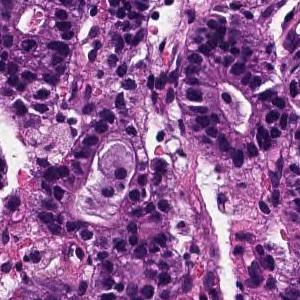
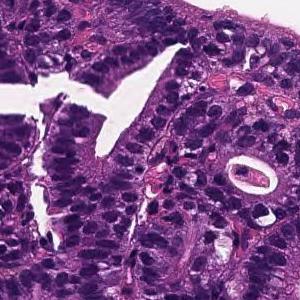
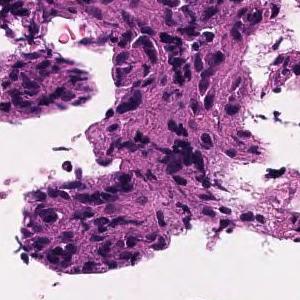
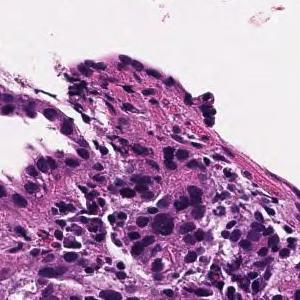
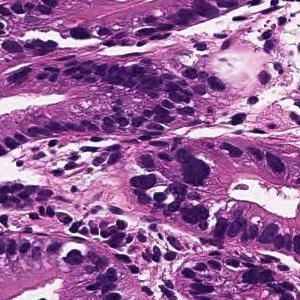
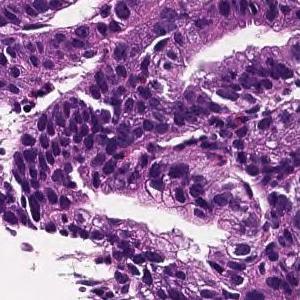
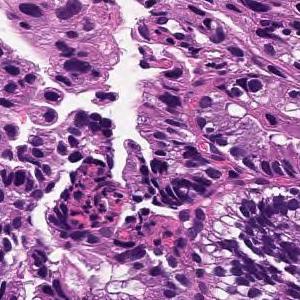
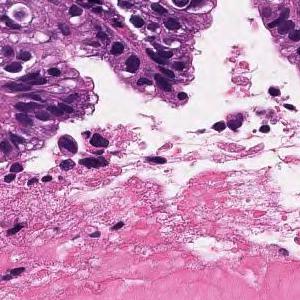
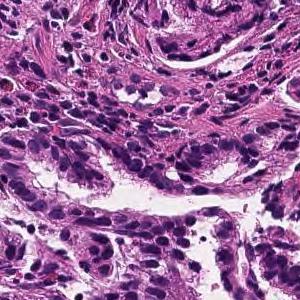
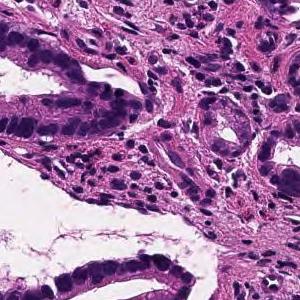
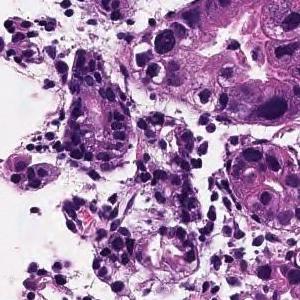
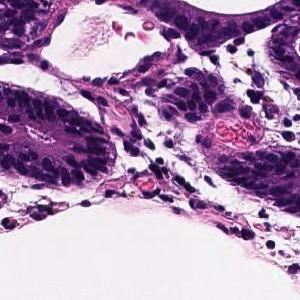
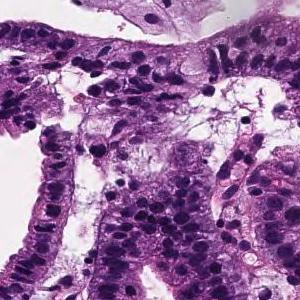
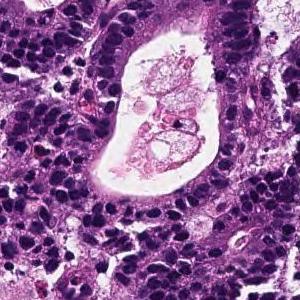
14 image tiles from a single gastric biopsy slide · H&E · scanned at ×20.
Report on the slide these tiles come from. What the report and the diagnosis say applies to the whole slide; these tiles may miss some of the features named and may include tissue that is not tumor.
From the superficial epithelium to the muscularis mucosae, tumor tissue consisting of medium-sized and irregular glandular ducts infiltrating is observed. Well differentiated tubular adenocarcinoma
